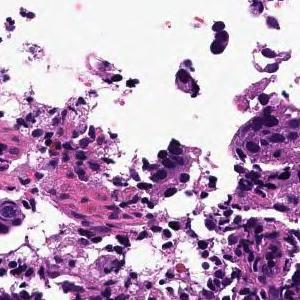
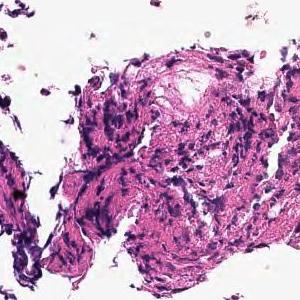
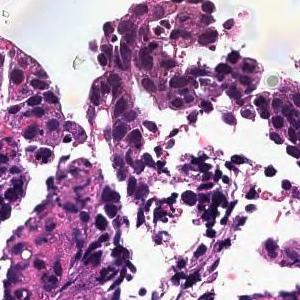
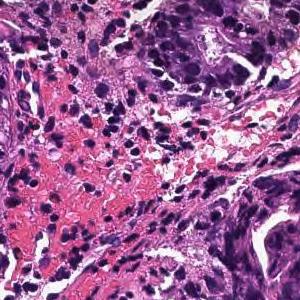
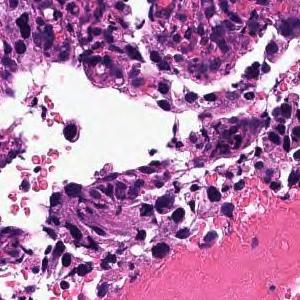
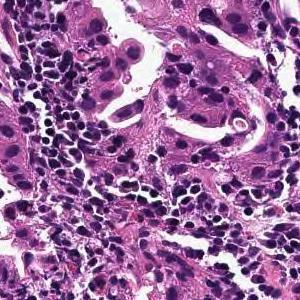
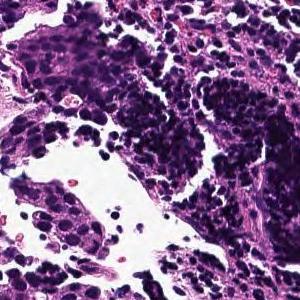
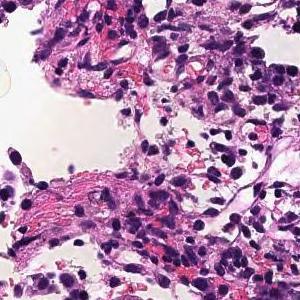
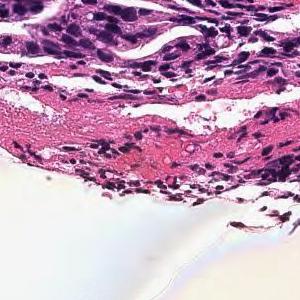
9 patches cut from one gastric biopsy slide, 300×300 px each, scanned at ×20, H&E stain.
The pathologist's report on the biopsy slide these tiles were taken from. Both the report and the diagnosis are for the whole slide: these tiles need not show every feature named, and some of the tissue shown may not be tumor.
In the superficial epithelium, tumor tissue that invades by forming medium-sized to small, irregular ducts is observed. moderately differentiated tubular adenocarcinoma.
